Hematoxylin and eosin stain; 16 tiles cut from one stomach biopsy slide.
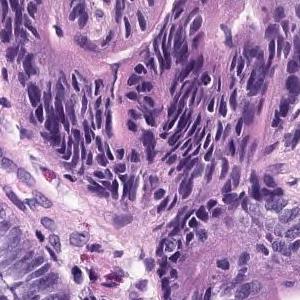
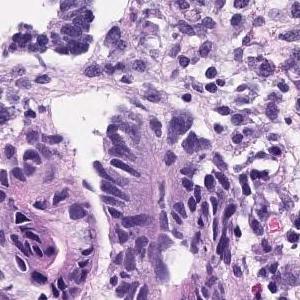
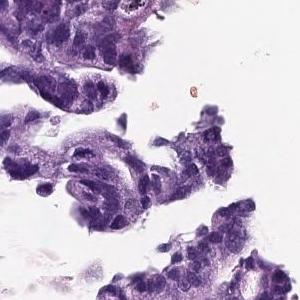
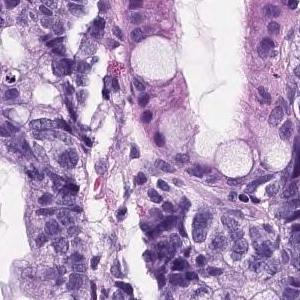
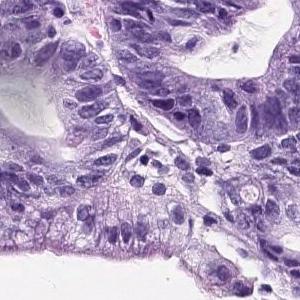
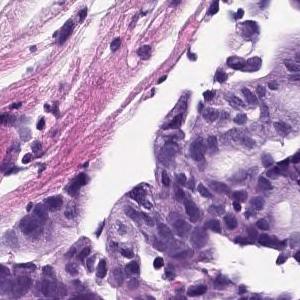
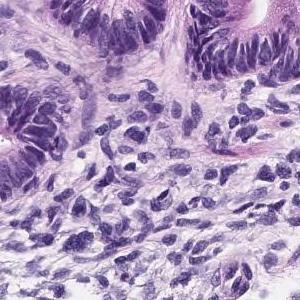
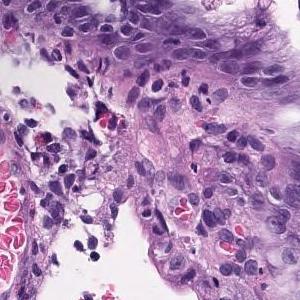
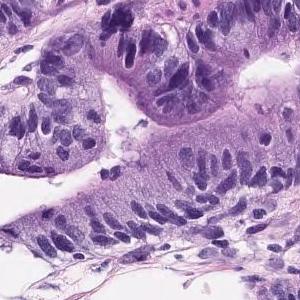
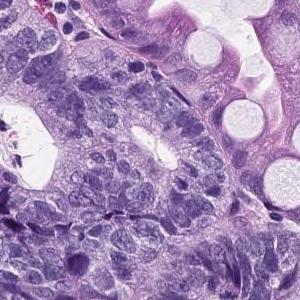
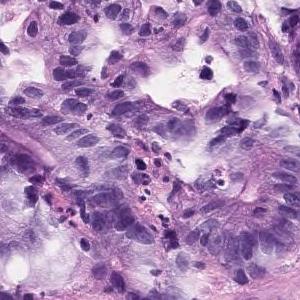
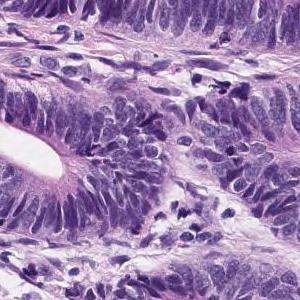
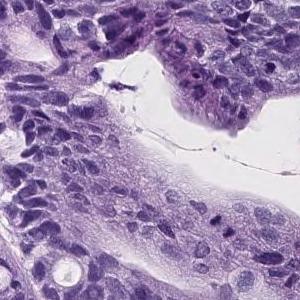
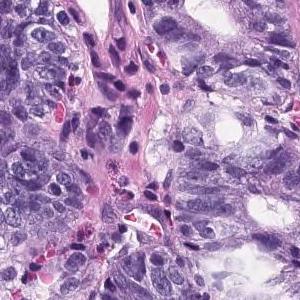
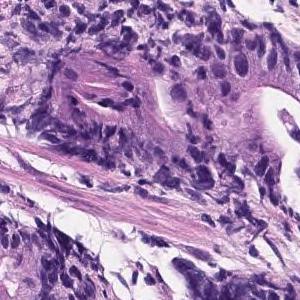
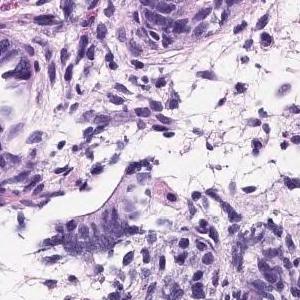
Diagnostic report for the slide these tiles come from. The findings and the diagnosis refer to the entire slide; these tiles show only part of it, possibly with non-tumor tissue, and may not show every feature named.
On the superficial epithelium, tumor tissue consisting of medium-sized to large-sized, round or irregular glandular duct growth images is observed. Well differentiated adenocarcinoma.
Subtype: Well differentiated tubular adenocarcinoma.
